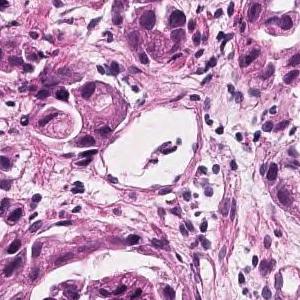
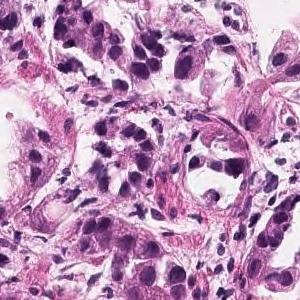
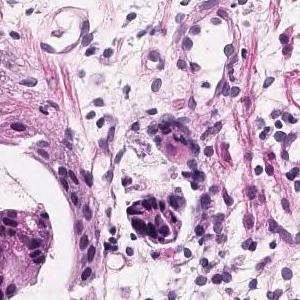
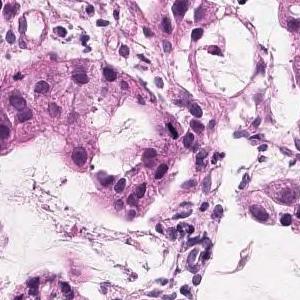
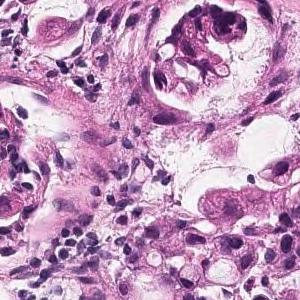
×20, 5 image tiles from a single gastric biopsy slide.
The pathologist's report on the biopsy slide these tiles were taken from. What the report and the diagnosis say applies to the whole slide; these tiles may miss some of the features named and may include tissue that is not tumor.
In the superficial epithelium, tumor tissue that invades by forming medium-sized to small, irregular ducts is observed. moderately differentiated tubular adenocarcinoma.
